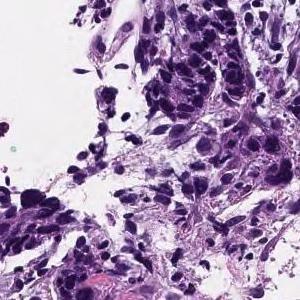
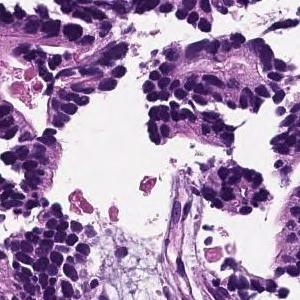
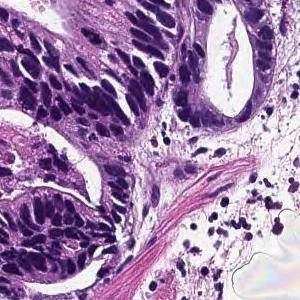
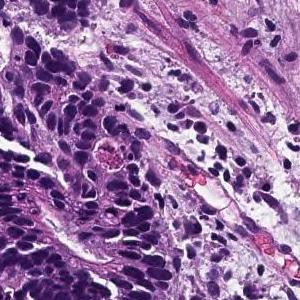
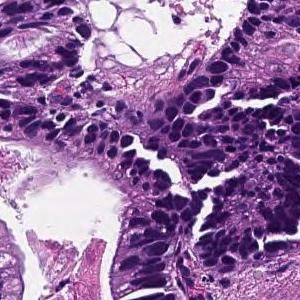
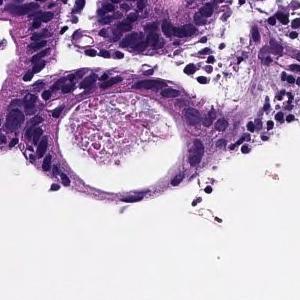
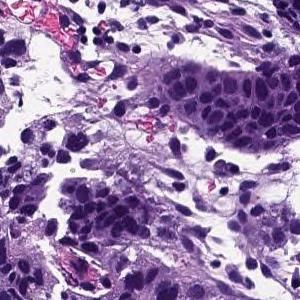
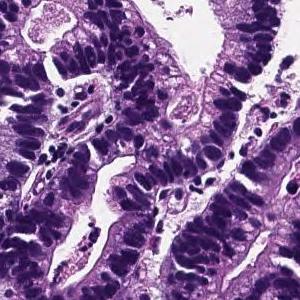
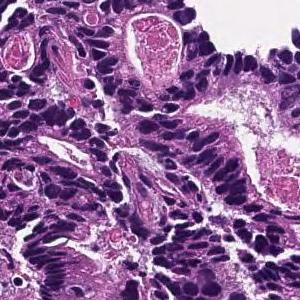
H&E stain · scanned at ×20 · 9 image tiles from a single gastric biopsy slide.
Pathology report for the slide these tiles were cut from. Both the report and the diagnosis are for the whole slide: these tiles need not show every feature named, and some of the tissue shown may not be tumor.
From the superficial epithelium to the muscularis mucosae, tumor tissue consisting of medium-sized and irregular glandular ducts infiltrating is observed. Well differentiated tubular adenocarcinoma
